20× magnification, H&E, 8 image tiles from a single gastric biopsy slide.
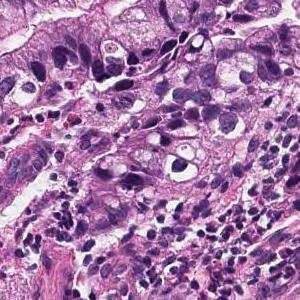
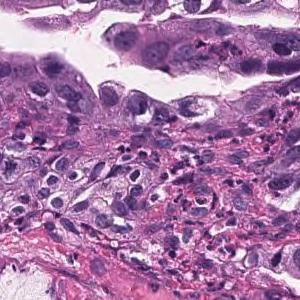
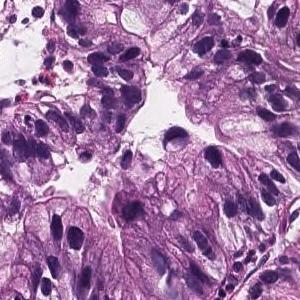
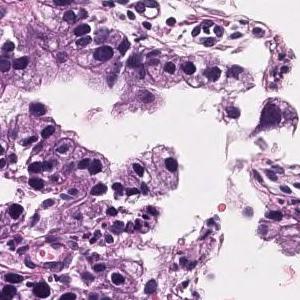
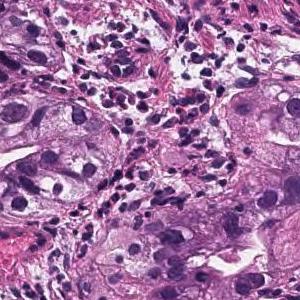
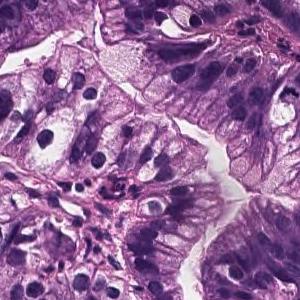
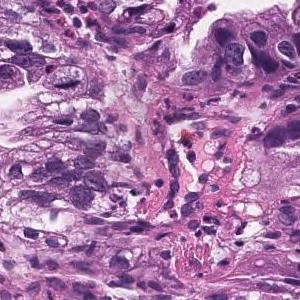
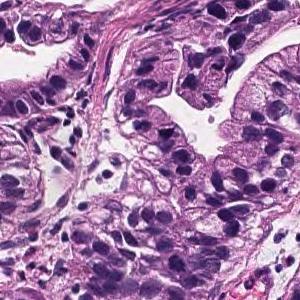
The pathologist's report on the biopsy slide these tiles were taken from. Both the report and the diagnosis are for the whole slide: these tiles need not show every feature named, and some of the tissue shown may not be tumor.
Tumor cells are large, highly columnar, large club-shaped nuclei, and are associated with chromatin aggregation. Papillary adenocarcinoma.
